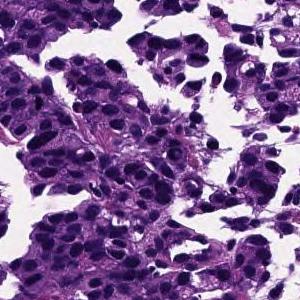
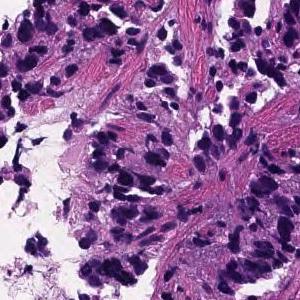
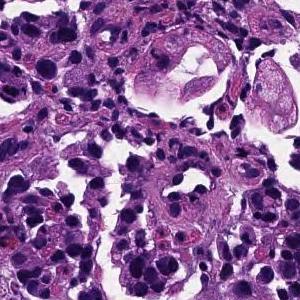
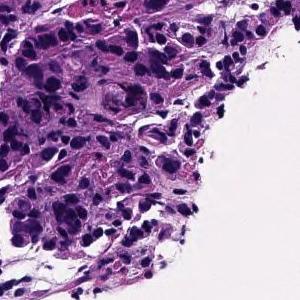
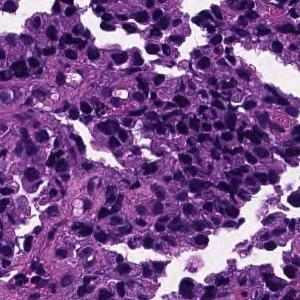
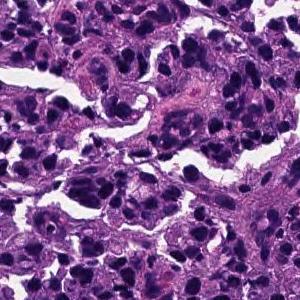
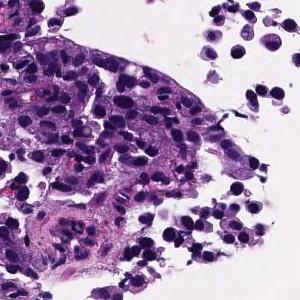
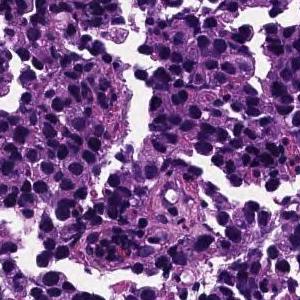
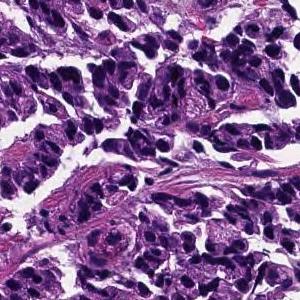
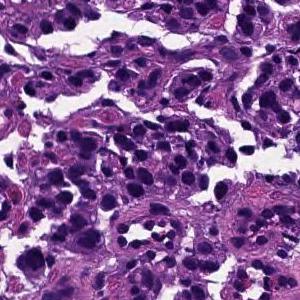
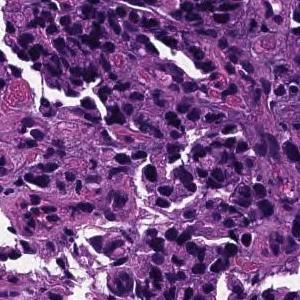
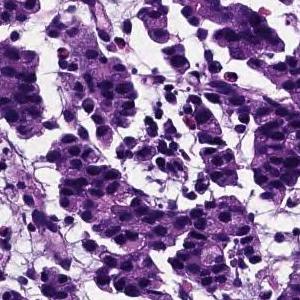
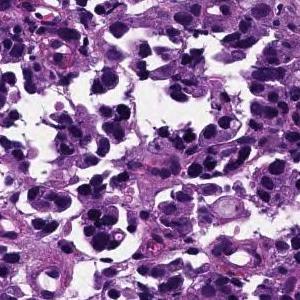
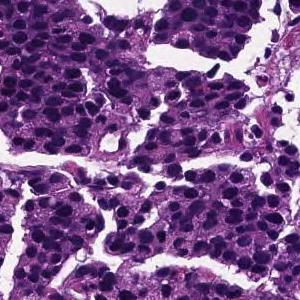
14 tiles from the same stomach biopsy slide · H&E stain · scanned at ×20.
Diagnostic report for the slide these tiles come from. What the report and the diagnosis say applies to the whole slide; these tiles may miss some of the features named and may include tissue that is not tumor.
The superficial epithelium shows a large alveolar shape and infiltrates tumor tissue. Poorly differentiated adenocarcinoma, solid-type
Subtype: Poorly differentiated adenocarcinoma, solid type, a category of the Japanese Classification of Gastric Carcinoma; in the WHO 2019 classification it is tubular adenocarcinoma, poorly differentiated.
